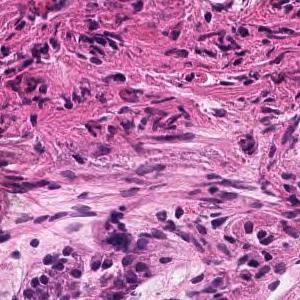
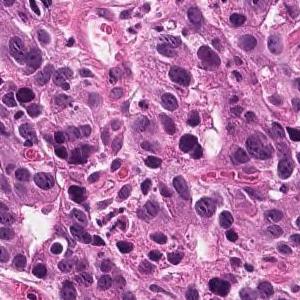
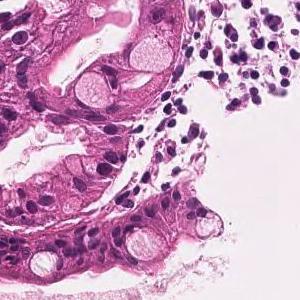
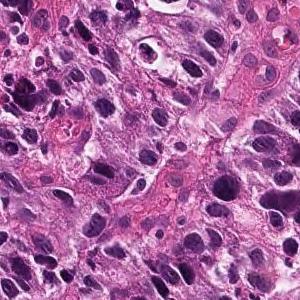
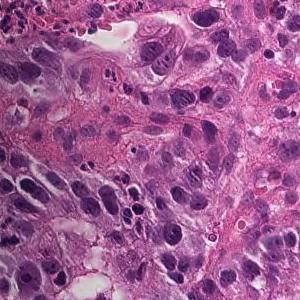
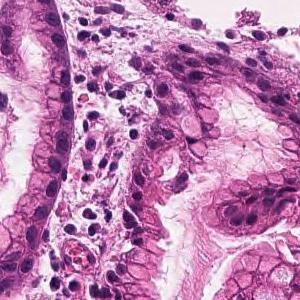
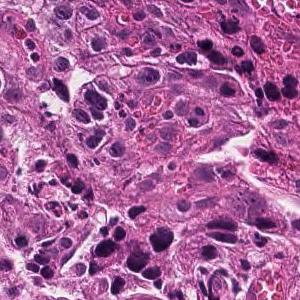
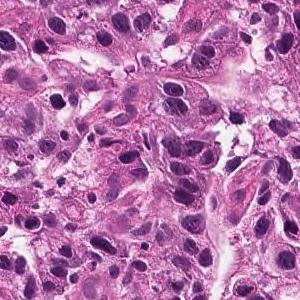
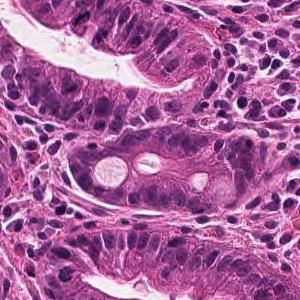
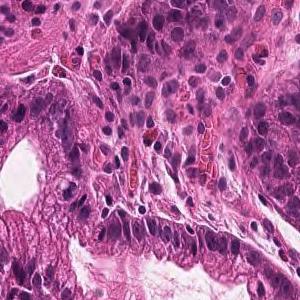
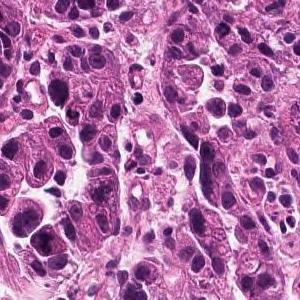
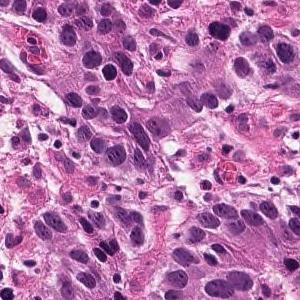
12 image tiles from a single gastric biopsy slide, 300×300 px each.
Report on the slide these tiles come from. The findings and the diagnosis refer to the entire slide; these tiles show only part of it, possibly with non-tumor tissue, and may not show every feature named.
Tumor tissue consisting of medium-sized, cord-like or irregular glandular infiltration is observed in the superficial epithelium. Poorly differentiated adenocarcinoma, non-solid type or moderately differentiated tubular adenocarcinoma
Classified as moderately to poorly differentiated adenocarcinoma.
The non-solid type named here is a Japanese Classification of Gastric Carcinoma category.
